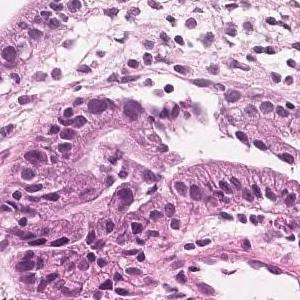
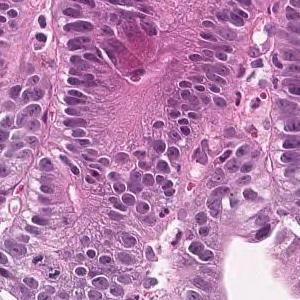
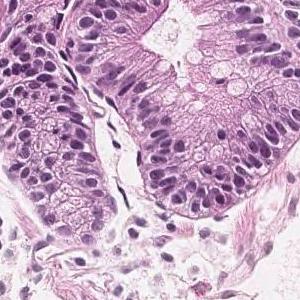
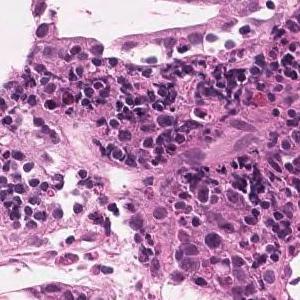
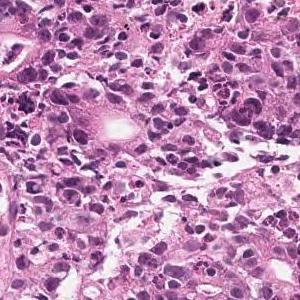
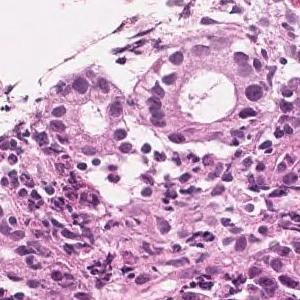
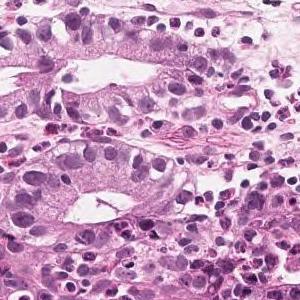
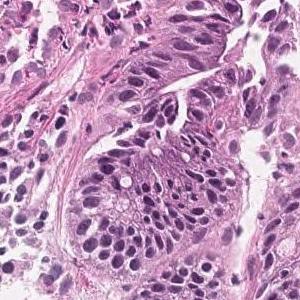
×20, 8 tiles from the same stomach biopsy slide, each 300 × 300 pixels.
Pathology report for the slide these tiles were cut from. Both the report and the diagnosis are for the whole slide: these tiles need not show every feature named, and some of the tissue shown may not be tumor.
On the superficial epithelium, tumor tissue consisting of large, irregular glandular ducts partially fused and infiltrated is observed. Well to moderately differentiated tubular adenocarcinoma (well differentiated tubular adenocarcinoma, moderately differentiated tubular adenocarcinoma)
Histologic type: Well to moderately differentiated tubular adenocarcinoma.
